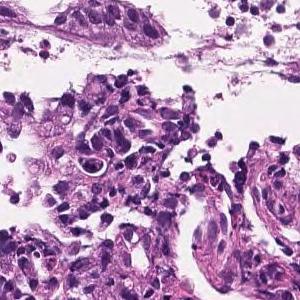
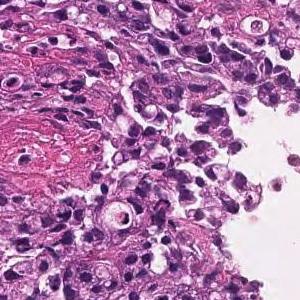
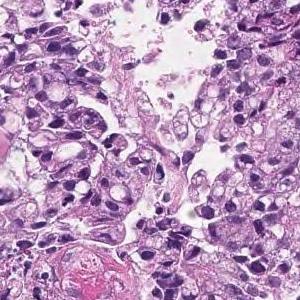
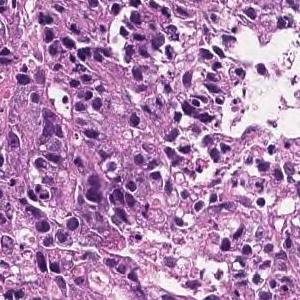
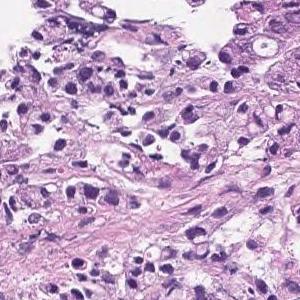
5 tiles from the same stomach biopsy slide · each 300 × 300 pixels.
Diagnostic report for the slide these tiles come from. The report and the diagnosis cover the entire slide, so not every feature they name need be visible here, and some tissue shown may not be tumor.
Medium to small, irregular glandular ducts are formed in the superficial epithelium, and in some cases, the glandular ducts are fused to show solid alveolar lesions and infiltrating tumor tissue is observed. Moderately to poorly differentiated adenocarcinoma.
